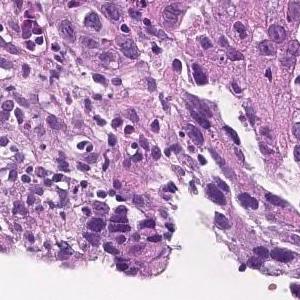
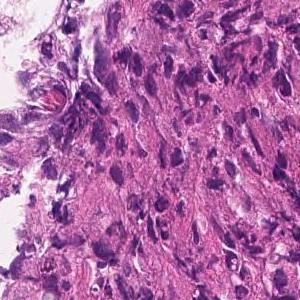
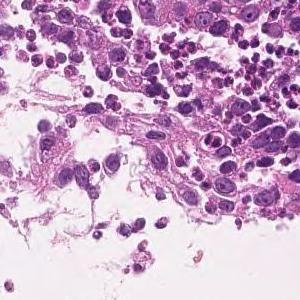
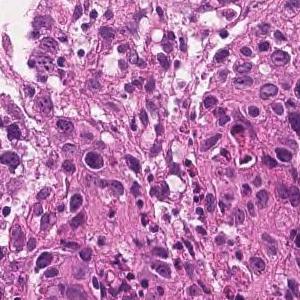
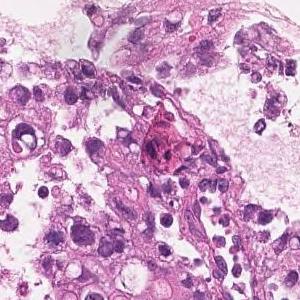
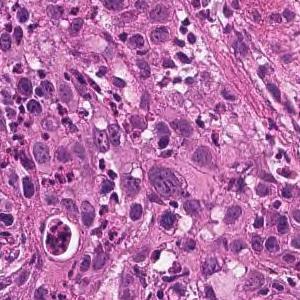
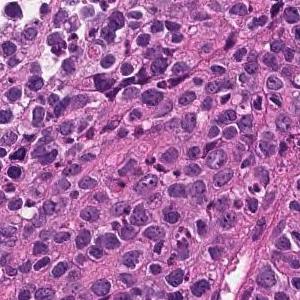
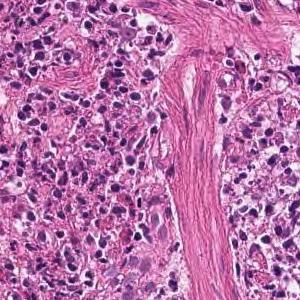
H&E stain, scanned at ×20, 8 tiles cut from one stomach biopsy slide.
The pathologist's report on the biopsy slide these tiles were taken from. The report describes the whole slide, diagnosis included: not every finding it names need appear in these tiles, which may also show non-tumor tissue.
The superficial epithelium shows a large sheet-like shape, and some tumor tissue infiltrates with small irregular ducts. Poorly differentiated adenocarcinoma, solid-type
Histologic type: Poorly differentiated adenocarcinoma, solid type, a category of the Japanese Classification of Gastric Carcinoma; in the WHO 2019 classification it is tubular adenocarcinoma, poorly differentiated.
